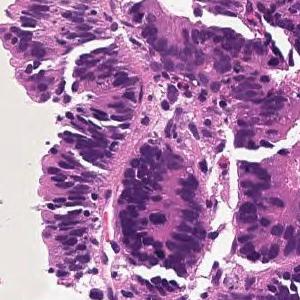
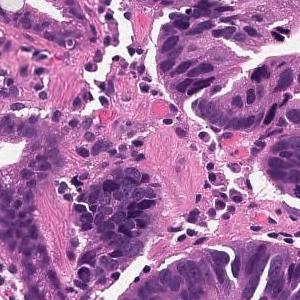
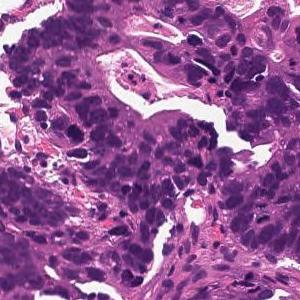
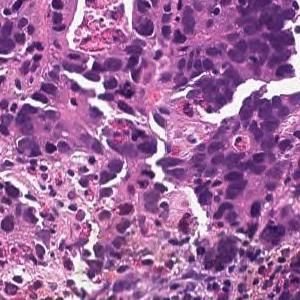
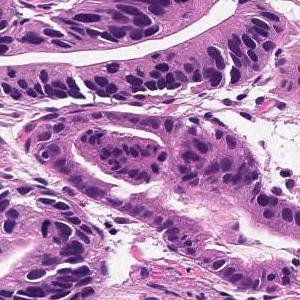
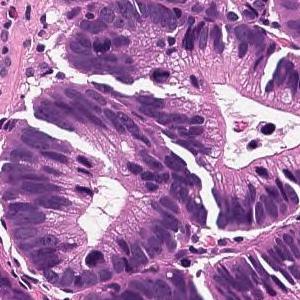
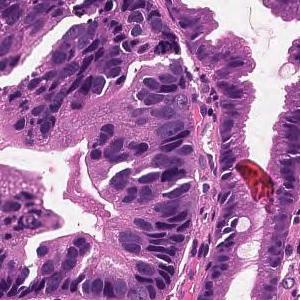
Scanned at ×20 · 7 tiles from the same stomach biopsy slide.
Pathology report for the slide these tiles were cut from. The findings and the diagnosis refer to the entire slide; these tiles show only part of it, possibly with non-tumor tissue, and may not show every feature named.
Tumor cells are large, highly columnar, large club-shaped nuclei, and are associated with chromatin aggregation. Papillary adenocarcinoma.
